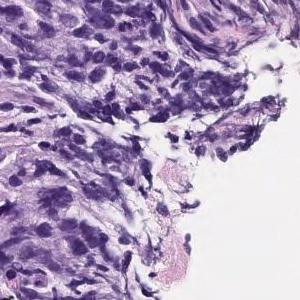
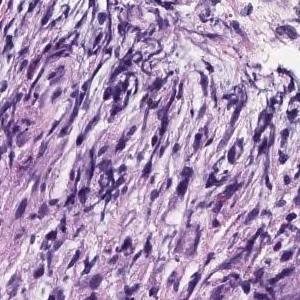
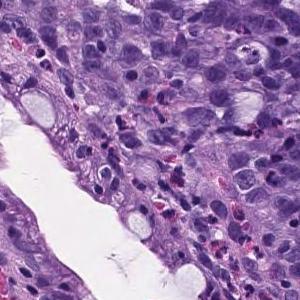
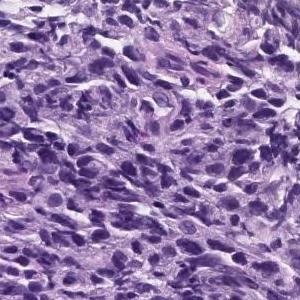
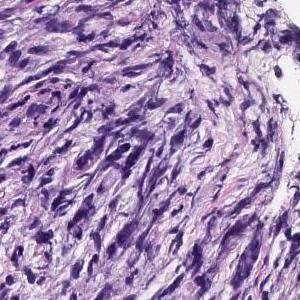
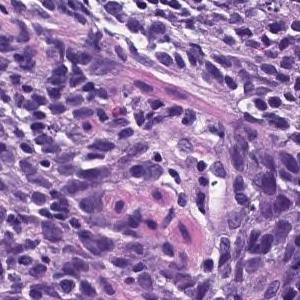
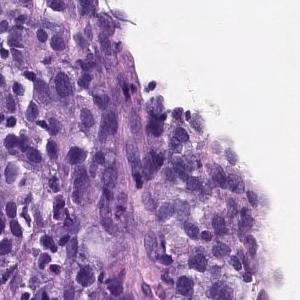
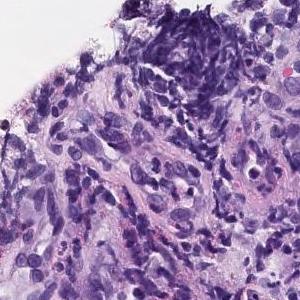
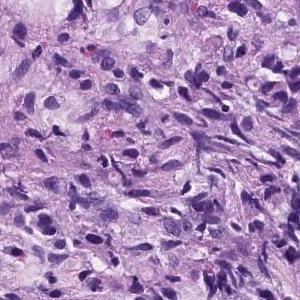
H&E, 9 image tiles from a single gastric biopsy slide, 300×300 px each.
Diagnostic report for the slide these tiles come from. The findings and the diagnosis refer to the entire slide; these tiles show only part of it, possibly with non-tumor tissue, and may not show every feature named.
The superficial epithelium shows a large sheet-like shape, and some tumor tissue infiltrates with small irregular ducts. Poorly differentiated adenocarcinoma, solid-type
Subtype: Poorly differentiated adenocarcinoma, solid type, a category of the Japanese Classification of Gastric Carcinoma; in the WHO 2019 classification it is tubular adenocarcinoma, poorly differentiated.
